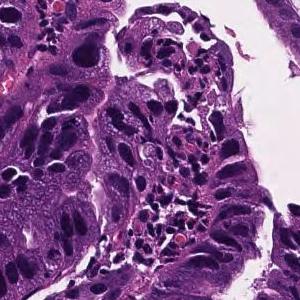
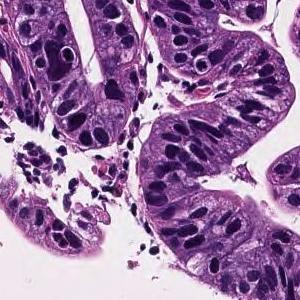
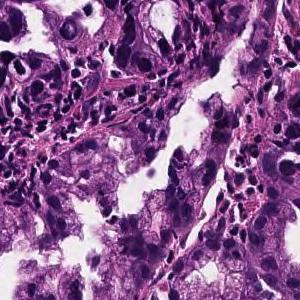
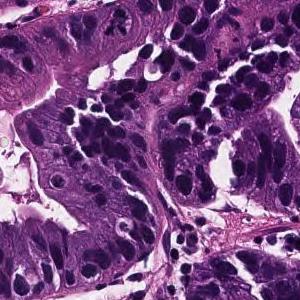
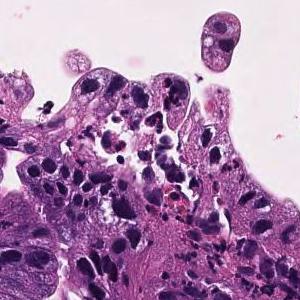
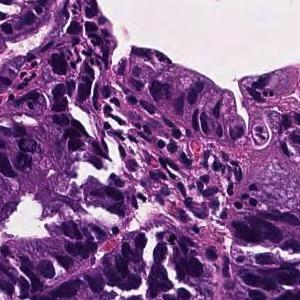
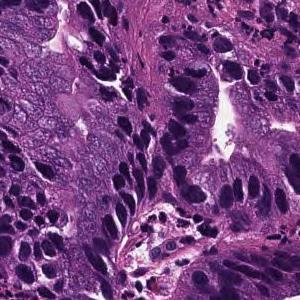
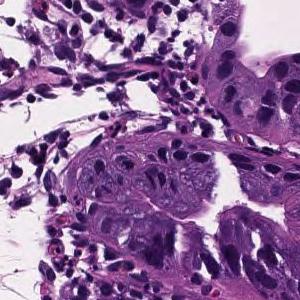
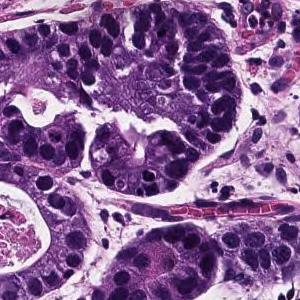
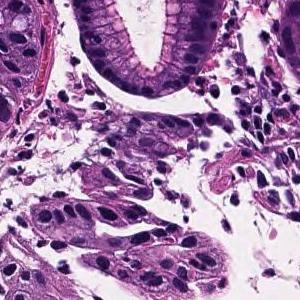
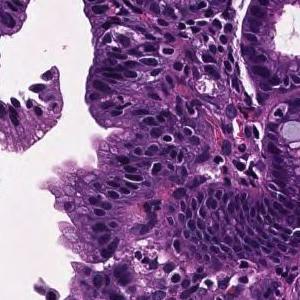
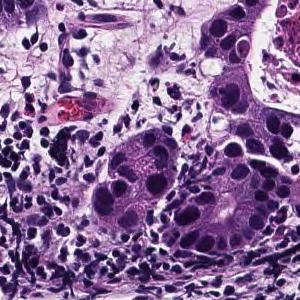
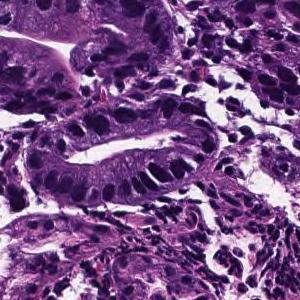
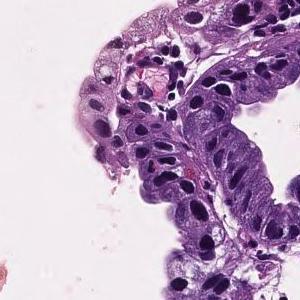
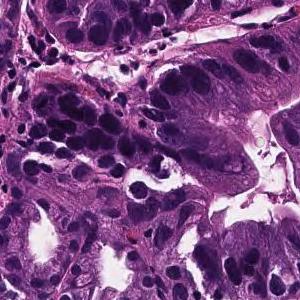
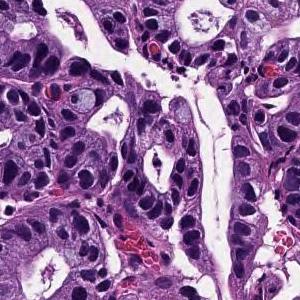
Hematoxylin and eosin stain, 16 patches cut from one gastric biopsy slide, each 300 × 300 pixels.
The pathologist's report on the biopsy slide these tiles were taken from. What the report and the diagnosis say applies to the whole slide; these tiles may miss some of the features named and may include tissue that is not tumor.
In the superficial epithelium, tumor tissue that invades by forming medium-sized to small, irregular ducts is observed. Well differentiated tubular adenocarcinoma.
